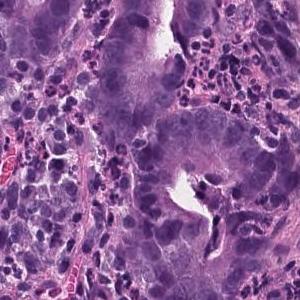
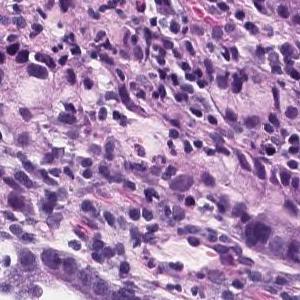
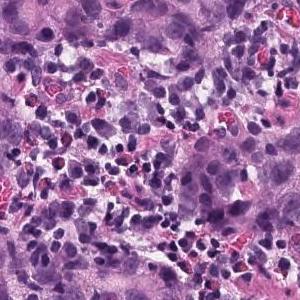
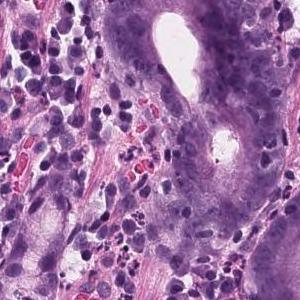
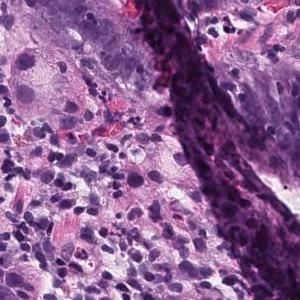
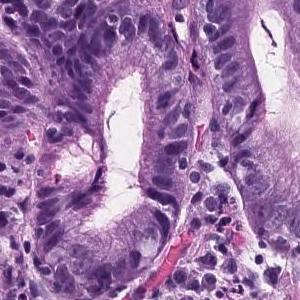
6 image tiles from a single gastric biopsy slide · each 300 × 300 pixels · hematoxylin and eosin stain · scanned at ×20.
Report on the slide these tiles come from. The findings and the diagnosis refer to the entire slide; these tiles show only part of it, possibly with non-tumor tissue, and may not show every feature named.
In the superficial epithelium, tumor tissue that invades by forming medium-sized to small, irregular ducts is observed. Moderately differentiated adenocarcinoma.
Tumor subtype: moderately differentiated tubular adenocarcinoma.
